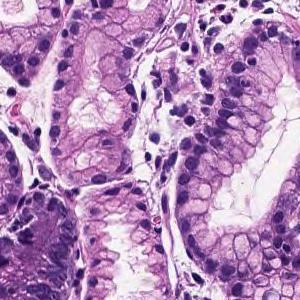
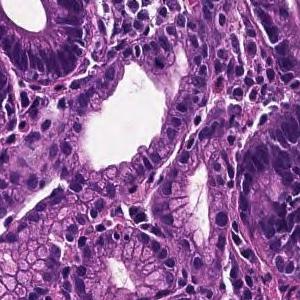
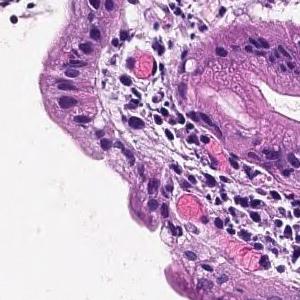
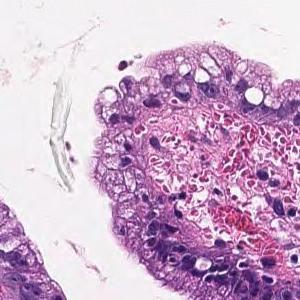
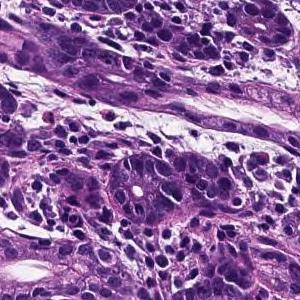
Hematoxylin and eosin stain, 5 image tiles from a single gastric biopsy slide.
Report on the slide these tiles come from. The findings and the diagnosis refer to the entire slide; these tiles show only part of it, possibly with non-tumor tissue, and may not show every feature named.
From the superficial epithelium to the muscularis mucosae, tumor tissue consisting of medium-sized and irregular glandular ducts infiltrating is observed. Well differentiated tubular adenocarcinoma
